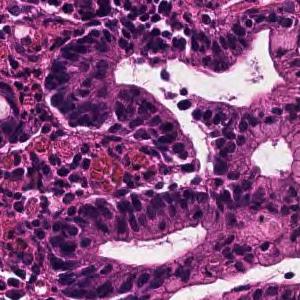
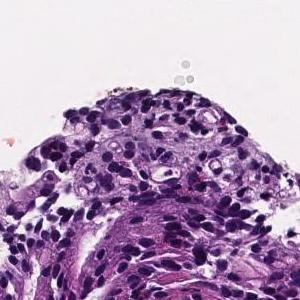
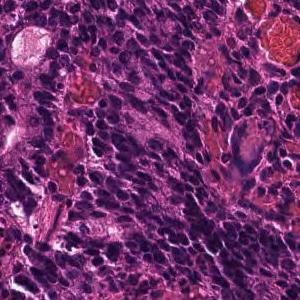
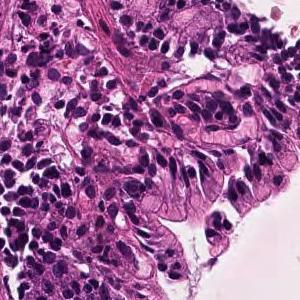
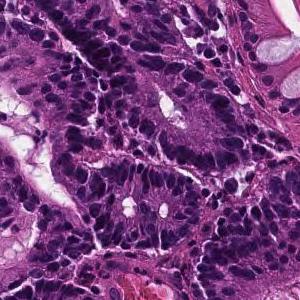
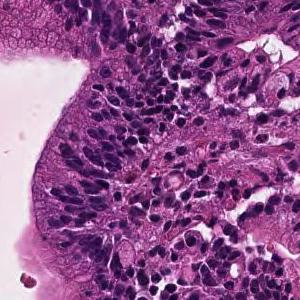
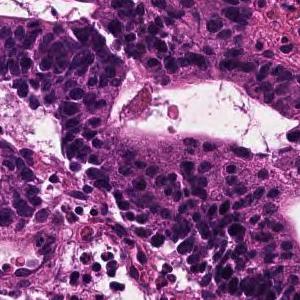
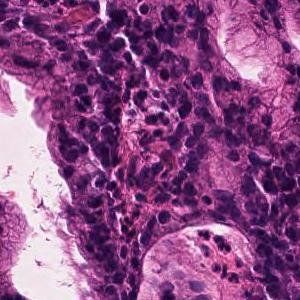
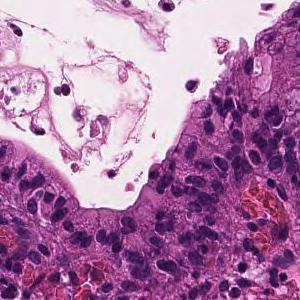
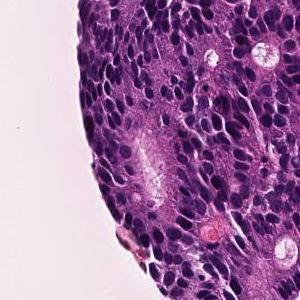
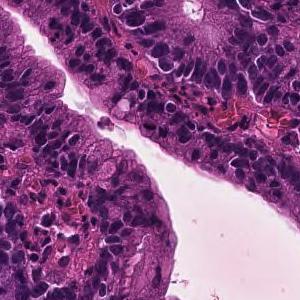
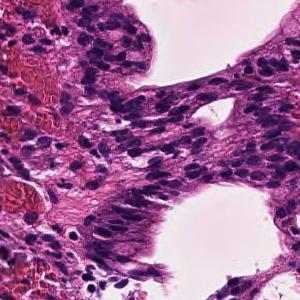
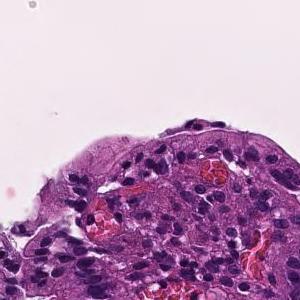
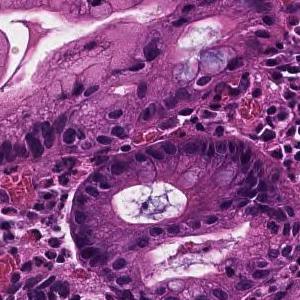
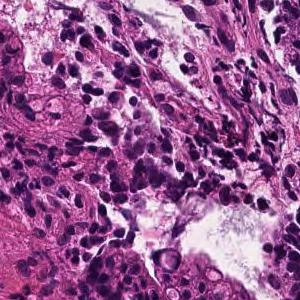
20× magnification; hematoxylin and eosin stain; 15 tiles from the same stomach biopsy slide.
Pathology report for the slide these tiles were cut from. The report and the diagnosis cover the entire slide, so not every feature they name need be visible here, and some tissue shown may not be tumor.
In the superficial epithelium, tumor tissue that invades by forming medium-sized to small, irregular ducts is observed. moderately differentiated tubular adenocarcinoma.
